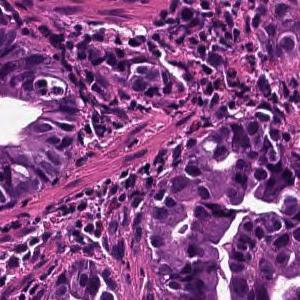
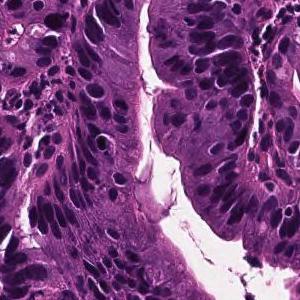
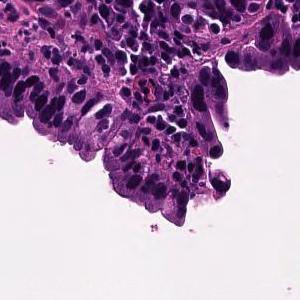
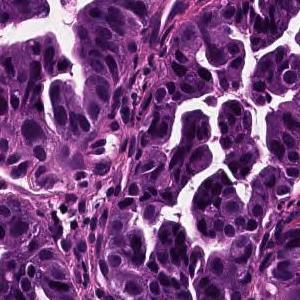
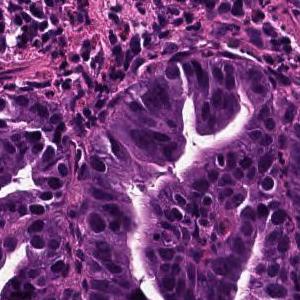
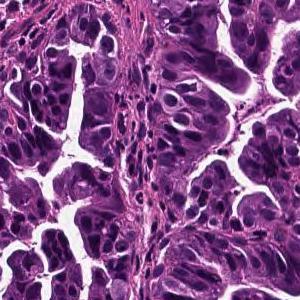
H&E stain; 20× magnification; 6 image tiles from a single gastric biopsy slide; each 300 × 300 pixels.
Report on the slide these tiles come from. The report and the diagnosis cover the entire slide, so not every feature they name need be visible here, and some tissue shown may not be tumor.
Tumor cells are large, highly columnar, large club-shaped nuclei, and are associated with chromatin aggregation. Papillary adenocarcinoma.
